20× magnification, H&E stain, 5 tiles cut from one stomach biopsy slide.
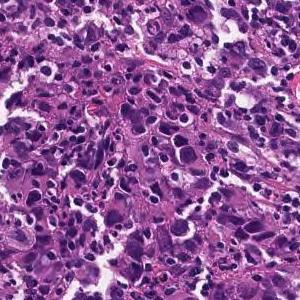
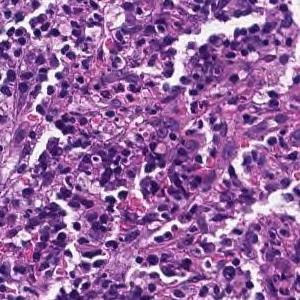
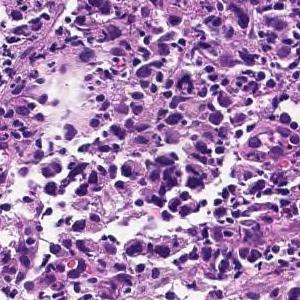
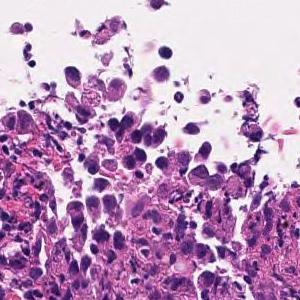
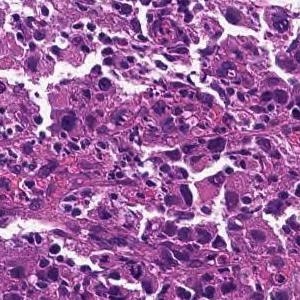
The pathologist's report on the biopsy slide these tiles were taken from. The report and the diagnosis describe the slide as a whole, so these tiles may not show every feature named and may include non-tumor tissue.
The superficial epithelium shows a large sheet-like shape, and some tumor tissue infiltrates with small irregular ducts. Poorly differentiated adenocarcinoma, solid-type (poorly differentiated adenocarcinoma, solid type)
Histologic type: Poorly differentiated adenocarcinoma, solid type, a category of the Japanese Classification of Gastric Carcinoma; in the WHO 2019 classification it is tubular adenocarcinoma, poorly differentiated.
